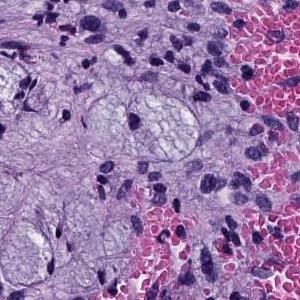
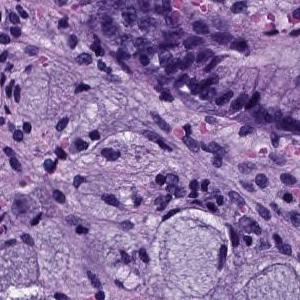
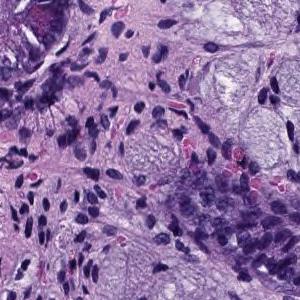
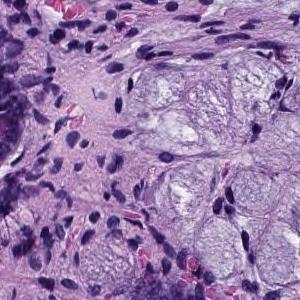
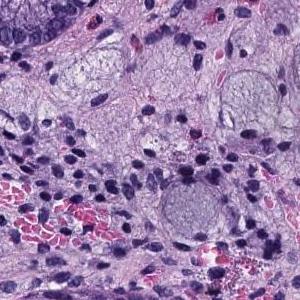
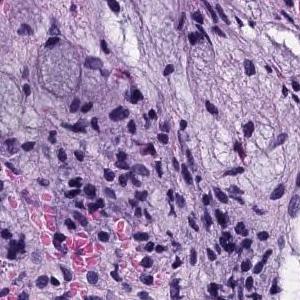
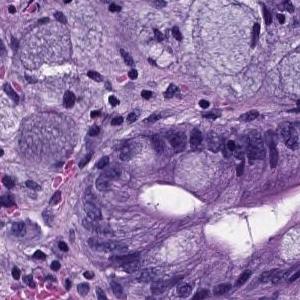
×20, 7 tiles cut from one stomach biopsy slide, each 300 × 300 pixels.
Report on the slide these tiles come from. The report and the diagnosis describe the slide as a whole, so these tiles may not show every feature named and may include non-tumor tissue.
Infiltration growth of atypical epithelial cells containing mucus in the vesicles is observed. Adenocarcinoma. Signet ring cell carcinoma.
